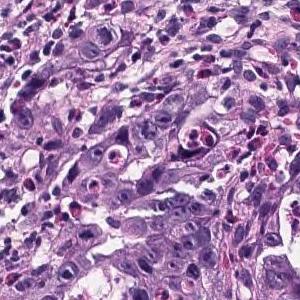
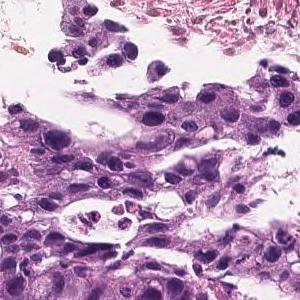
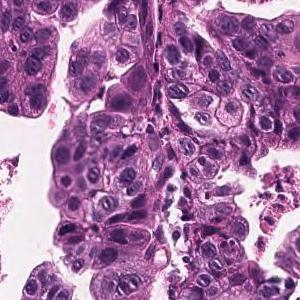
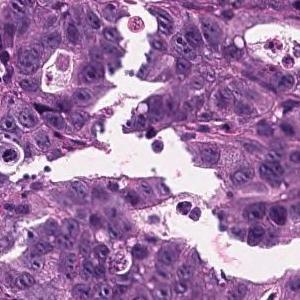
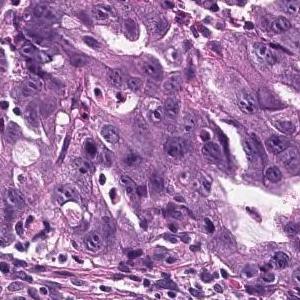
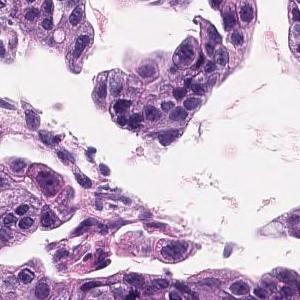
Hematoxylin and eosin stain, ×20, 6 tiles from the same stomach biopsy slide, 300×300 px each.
Diagnostic report for the slide these tiles come from. What the report and the diagnosis say applies to the whole slide; these tiles may miss some of the features named and may include tissue that is not tumor.
Tumor cells are large, highly columnar, large club-shaped nuclei, and are associated with chromatin aggregation. Papillary adenocarcinoma.
